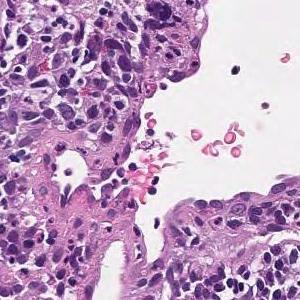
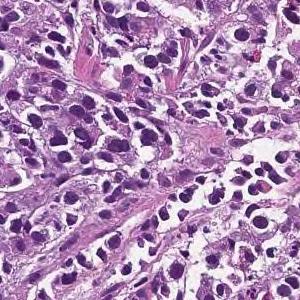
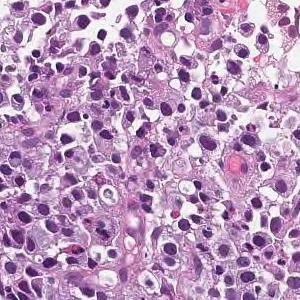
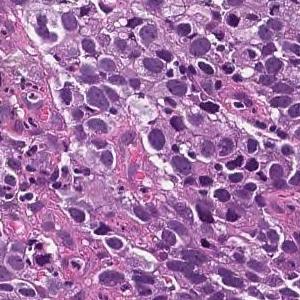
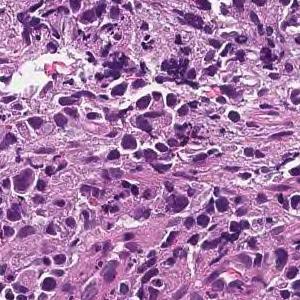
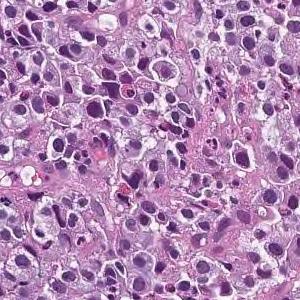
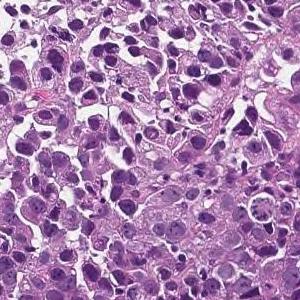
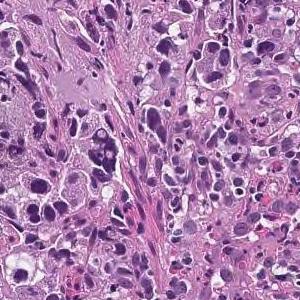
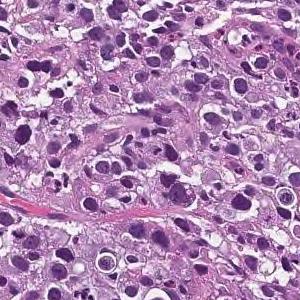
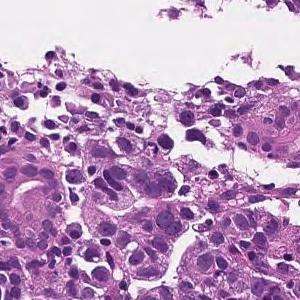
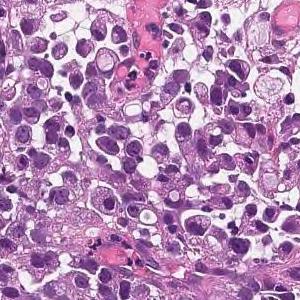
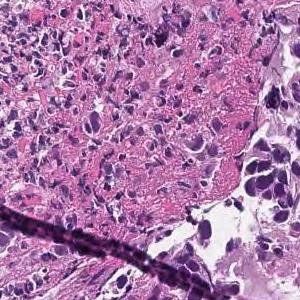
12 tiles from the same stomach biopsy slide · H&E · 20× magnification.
Diagnostic report for the slide these tiles come from. The report and the diagnosis describe the slide as a whole, so these tiles may not show every feature named and may include non-tumor tissue.
The superficial epithelium shows a large sheet-like shape, and some tumor tissue infiltrates with small irregular ducts. Poorly differentiated adenocarcinoma, solid-type
Classified as poorly differentiated adenocarcinoma, solid type. This name comes from the Japanese Classification of Gastric Carcinoma; the WHO 2019 classification calls it tubular adenocarcinoma, poorly differentiated.
